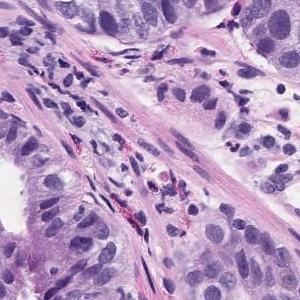
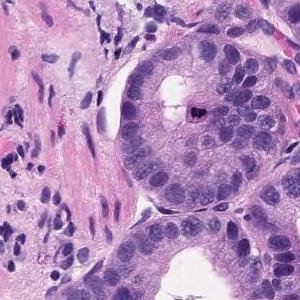
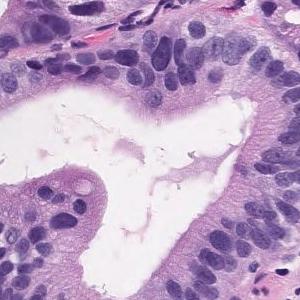
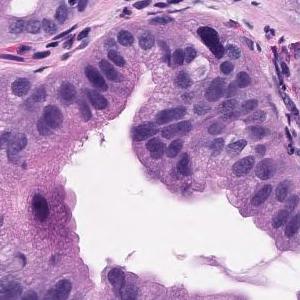
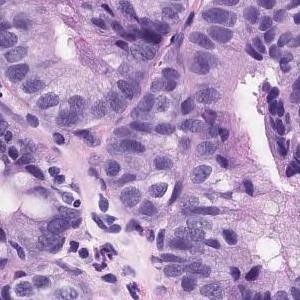
5 image tiles from a single gastric biopsy slide · 300×300 px each · scanned at ×20 · H&E stain.
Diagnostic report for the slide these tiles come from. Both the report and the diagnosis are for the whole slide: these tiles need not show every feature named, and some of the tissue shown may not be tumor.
Tumor tissue consisting of medium-sized and irregular ducts is observed infiltrating in the superficial epithelium. Tumor cells are highly columnar, with nuclei aligned basolaterally and polarized. Well differentiated tubular adenocarcinoma.
